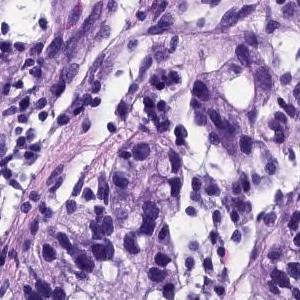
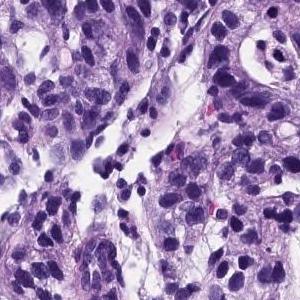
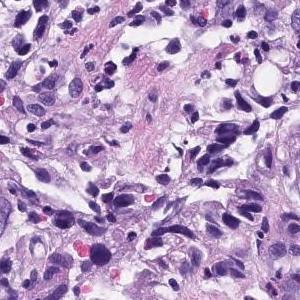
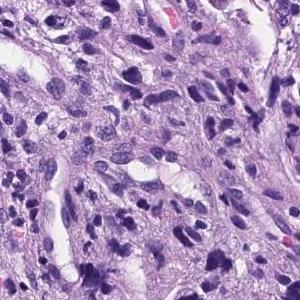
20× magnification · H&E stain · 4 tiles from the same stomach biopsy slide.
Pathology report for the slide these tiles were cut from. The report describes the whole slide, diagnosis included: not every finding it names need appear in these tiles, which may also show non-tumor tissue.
Medium to small, irregular glandular ducts are formed in the superficial epithelium, and in some cases, the glandular ducts are fused to show solid alveolar lesions and infiltrating tumor tissue is observed. Poorly differentiated adenocarcinoma, Moderately differentiated adenocarcinoma.
The dataset labels this slide moderately differentiated tubular adenocarcinoma.
